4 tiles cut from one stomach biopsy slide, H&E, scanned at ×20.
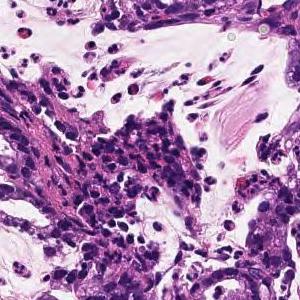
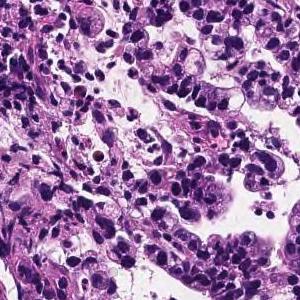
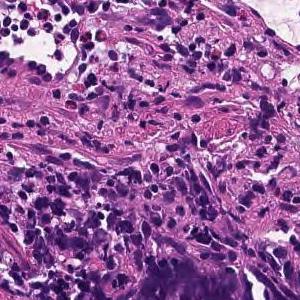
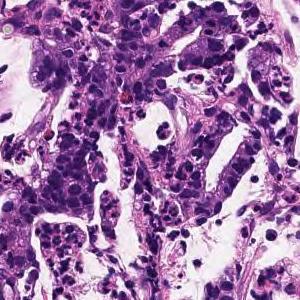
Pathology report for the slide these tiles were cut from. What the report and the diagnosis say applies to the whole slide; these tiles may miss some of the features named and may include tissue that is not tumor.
On the superficial epithelium, tumor tissue consisting of large, irregular glandular ducts partially fused and infiltrated is observed. Well to moderately differentiated tubular adenocarcinoma (well differentiated tubular adenocarcinoma, moderately differentiated tubular adenocarcinoma)
Histologic type: Well to moderately differentiated tubular adenocarcinoma.
